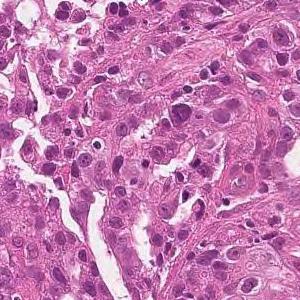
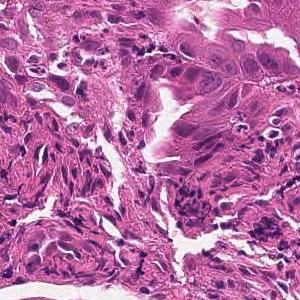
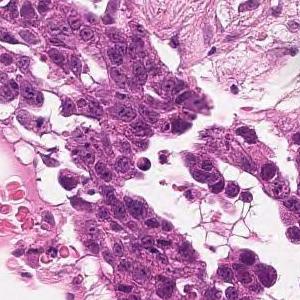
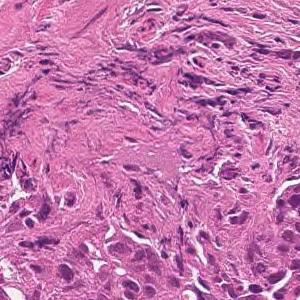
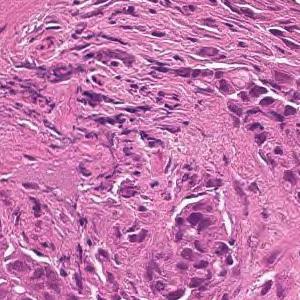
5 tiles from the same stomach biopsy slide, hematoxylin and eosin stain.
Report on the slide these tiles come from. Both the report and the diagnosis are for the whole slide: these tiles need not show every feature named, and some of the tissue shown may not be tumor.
Tumor tissue consisting of large papillary structures is found in the superficial epithelium. Papillary adenocarcinoma.
